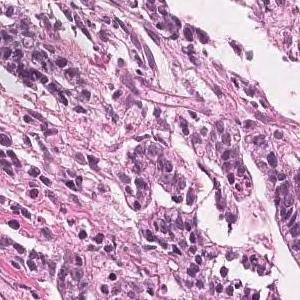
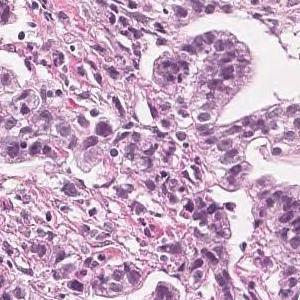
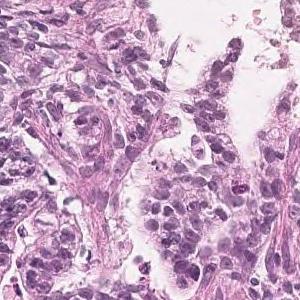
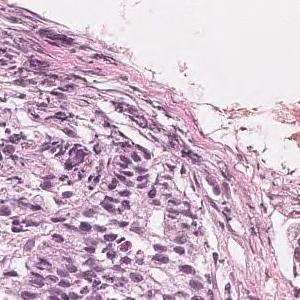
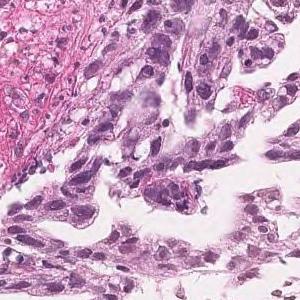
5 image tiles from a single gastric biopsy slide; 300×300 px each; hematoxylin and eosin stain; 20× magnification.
Pathology report for the biopsy slide these tiles were cut from. What the report and the diagnosis say applies to the whole slide; these tiles may miss some of the features named and may include tissue that is not tumor.
Tumor tissue in which highly columnar atypical epithelial cells with nuclear enlargement and increased nuclear chromatin show papillary to papillary ductal structure and proliferate is observed. Papillary adenocarcinoma.
